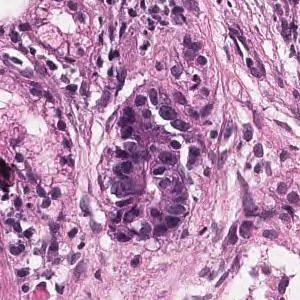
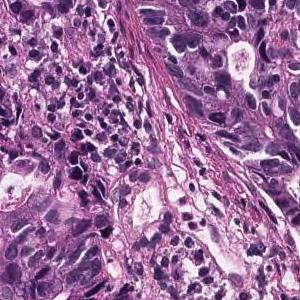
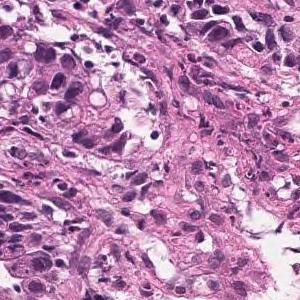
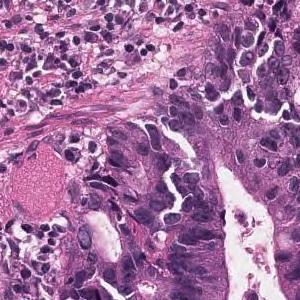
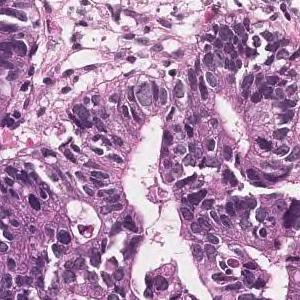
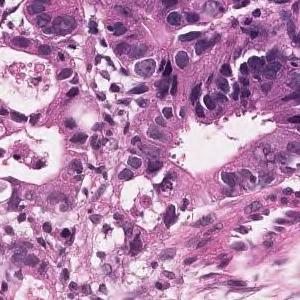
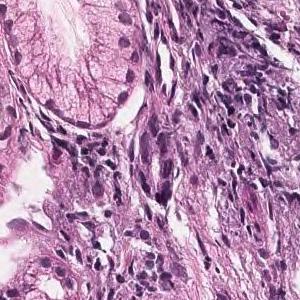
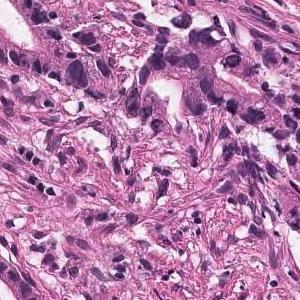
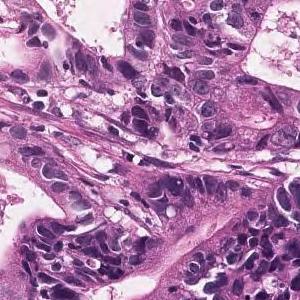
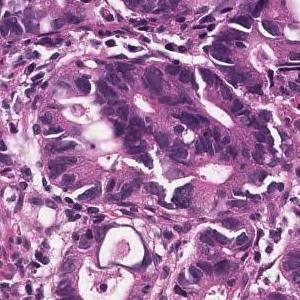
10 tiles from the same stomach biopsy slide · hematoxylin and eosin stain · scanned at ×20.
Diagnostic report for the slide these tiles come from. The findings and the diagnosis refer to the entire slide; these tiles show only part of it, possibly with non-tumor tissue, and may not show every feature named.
In the superficial epithelium, tumor tissue is found in which medium-sized irregular gland ducts fuse with each other and infiltrate. moderately differentiated tubular adenocarcinoma
